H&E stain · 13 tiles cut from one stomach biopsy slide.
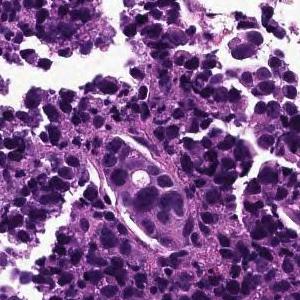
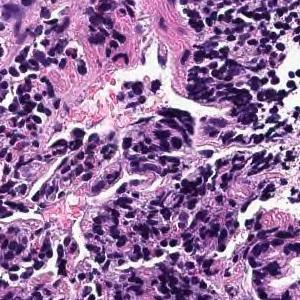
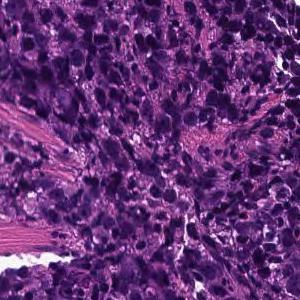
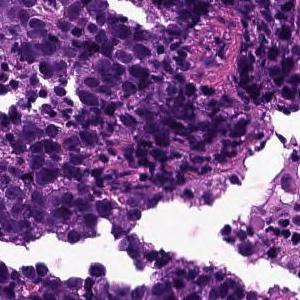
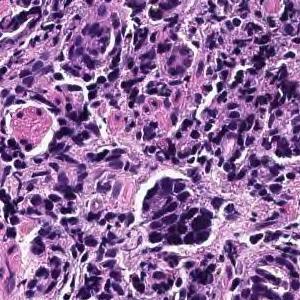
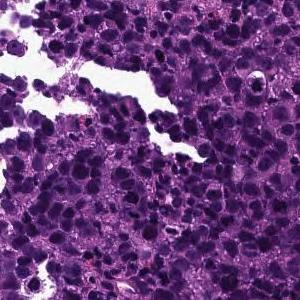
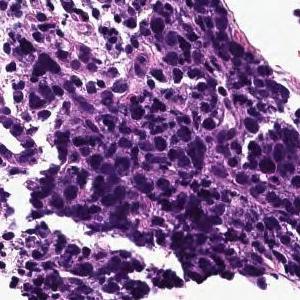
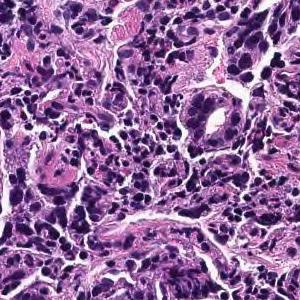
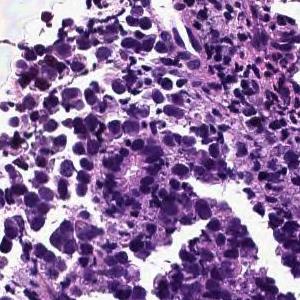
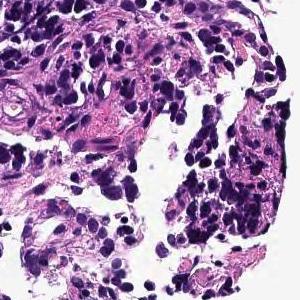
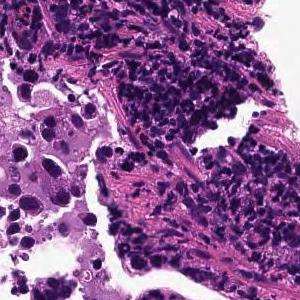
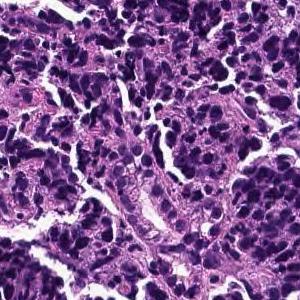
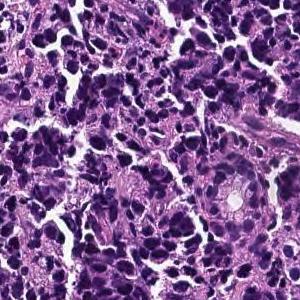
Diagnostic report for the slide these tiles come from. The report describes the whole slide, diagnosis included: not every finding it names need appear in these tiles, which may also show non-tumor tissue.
The superficial epithelium shows large alveolar or sheet-like forms, and some tumor tissue infiltrates with small irregular ducts. Poorly differentiated adenocarcinoma, solid-type
Histologic type: Poorly differentiated adenocarcinoma, solid type (Japanese Classification of Gastric Carcinoma). The WHO 2019 equivalent is tubular adenocarcinoma, poorly differentiated.
